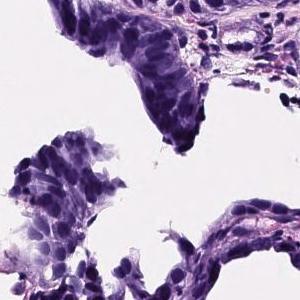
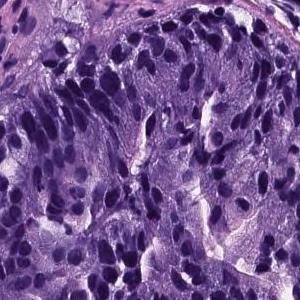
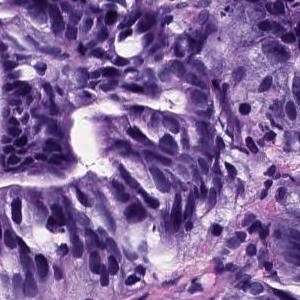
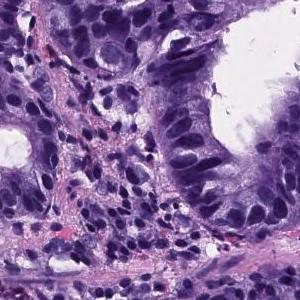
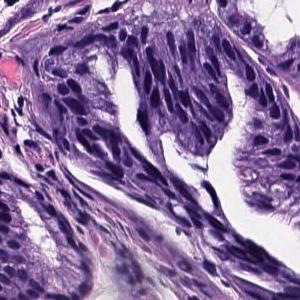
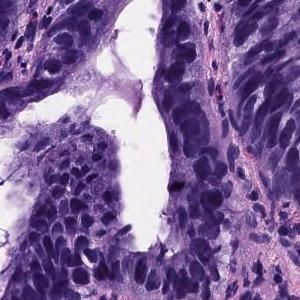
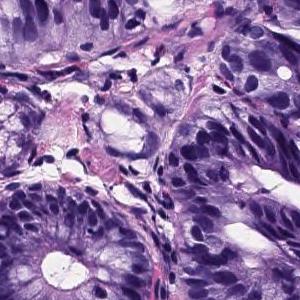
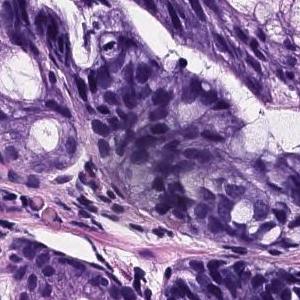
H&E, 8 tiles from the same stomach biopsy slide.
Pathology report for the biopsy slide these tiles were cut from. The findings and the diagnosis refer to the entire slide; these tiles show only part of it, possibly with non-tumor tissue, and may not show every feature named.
Large atypical cells which form medium to large ducts are proliferating. Well differentiated adenocarcinoma (well differentiated tubular adenocarcinoma)
Histological subtype: Well differentiated tubular adenocarcinoma.
